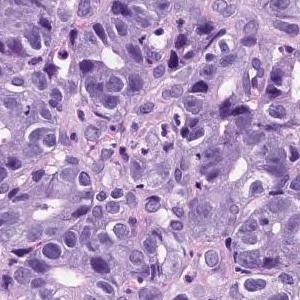
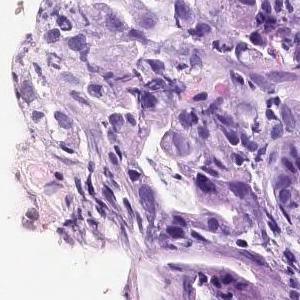
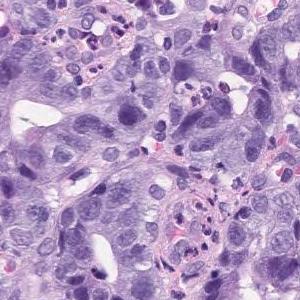
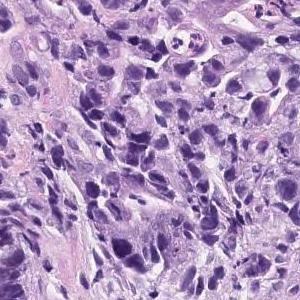
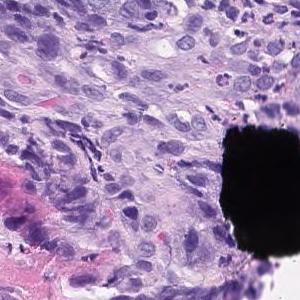
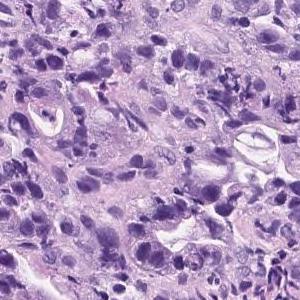
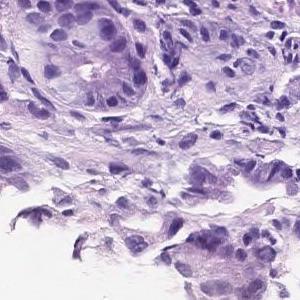
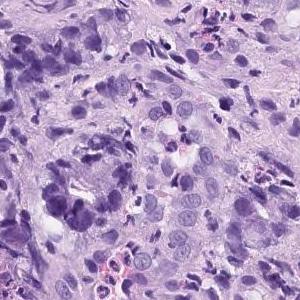
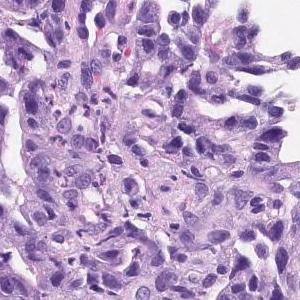
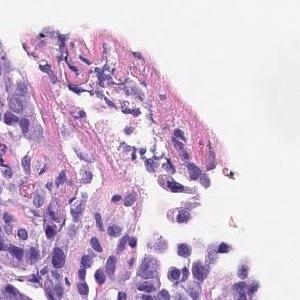
H&E · scanned at ×20 · 10 image tiles from a single gastric biopsy slide · each 300 × 300 pixels.
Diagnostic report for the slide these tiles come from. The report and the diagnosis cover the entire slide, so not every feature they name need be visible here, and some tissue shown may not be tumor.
In the superficial epithelium, tumor tissue that invades by forming medium-sized to small, irregular ducts is observed. Moderately differentiated adenocarcinoma.
Tumor subtype: moderately differentiated tubular adenocarcinoma.
